H&E stain · scanned at ×20 · 7 tiles cut from one stomach biopsy slide · each 300 × 300 pixels.
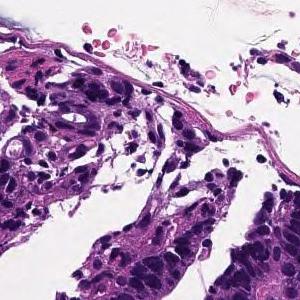
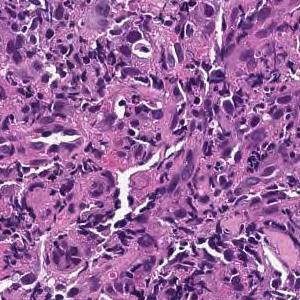
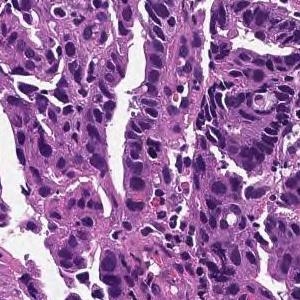
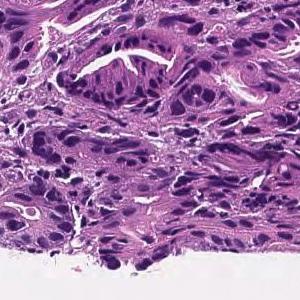
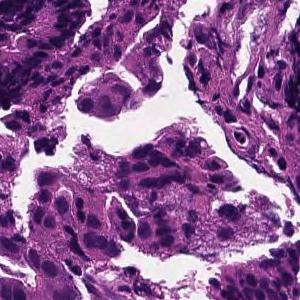
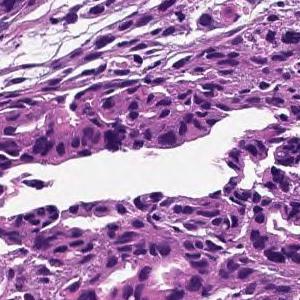
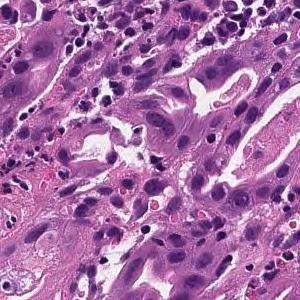
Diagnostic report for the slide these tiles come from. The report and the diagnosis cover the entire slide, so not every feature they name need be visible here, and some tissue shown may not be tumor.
In the superficial epithelium, tumor tissue that invades by forming medium-sized to small, irregular ducts is observed. moderately differentiated tubular adenocarcinoma.
